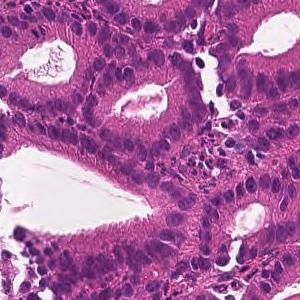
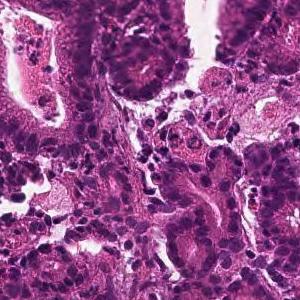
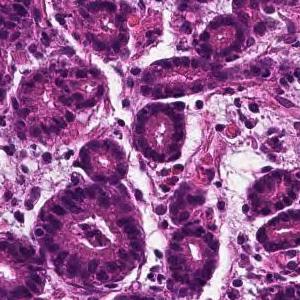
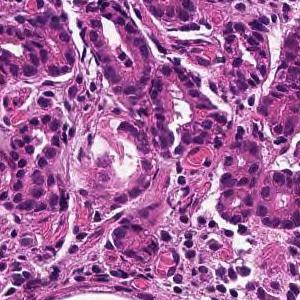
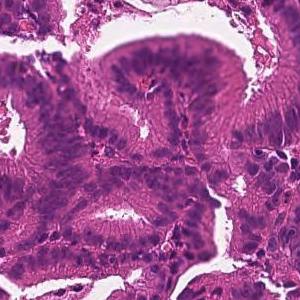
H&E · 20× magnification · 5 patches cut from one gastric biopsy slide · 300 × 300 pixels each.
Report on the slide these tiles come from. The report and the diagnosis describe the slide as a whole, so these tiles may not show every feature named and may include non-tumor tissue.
From the superficial epithelium to the muscularis mucosae, tumor tissue consisting of medium-sized and irregular glandular ducts infiltrating is observed. Well differentiated tubular adenocarcinoma
